6 tiles from the same stomach biopsy slide; hematoxylin and eosin stain; scanned at ×20.
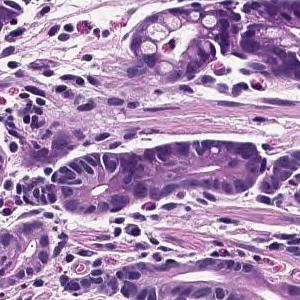
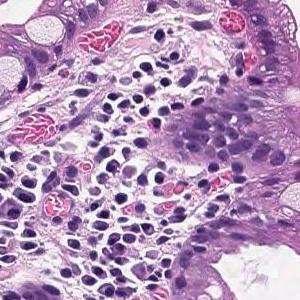
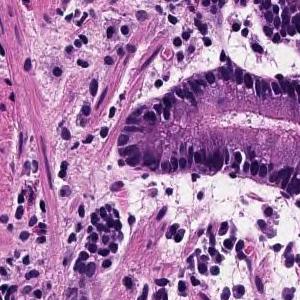
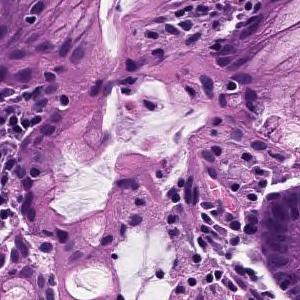
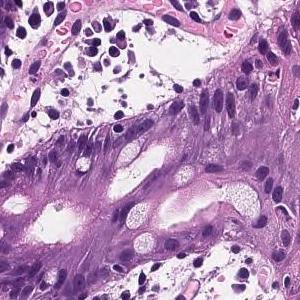
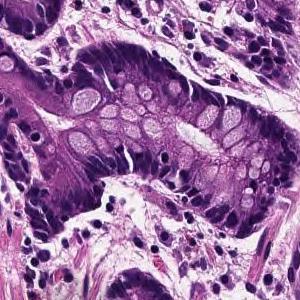
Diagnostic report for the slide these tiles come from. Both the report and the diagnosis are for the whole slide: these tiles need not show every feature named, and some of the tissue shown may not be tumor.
From the superficial epithelium to the muscularis mucosae, tumor tissue consisting of medium-sized and irregular glandular ducts infiltrating is observed. Well differentiated tubular adenocarcinoma
